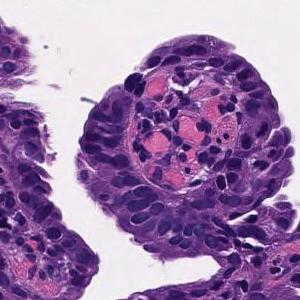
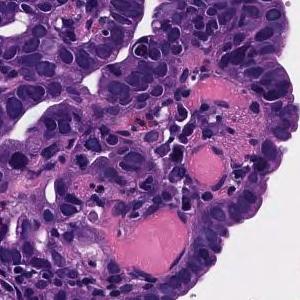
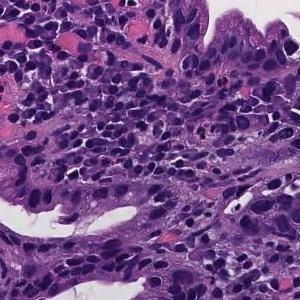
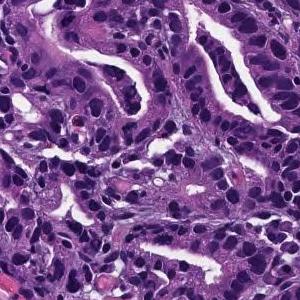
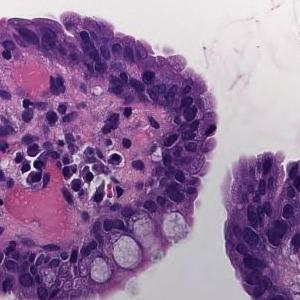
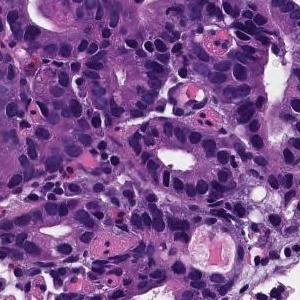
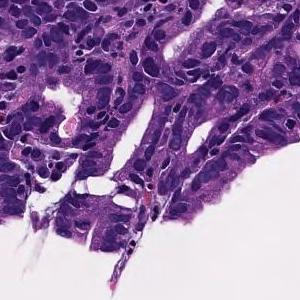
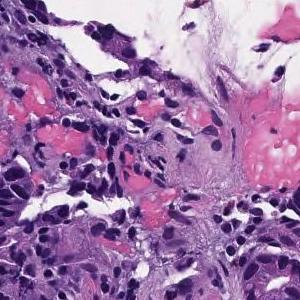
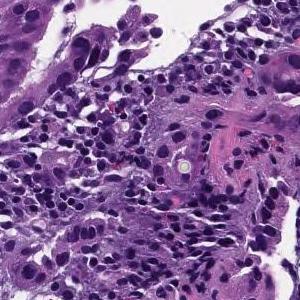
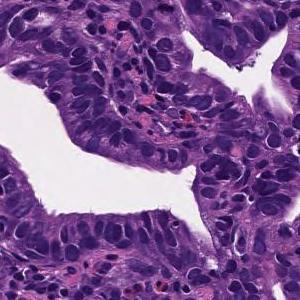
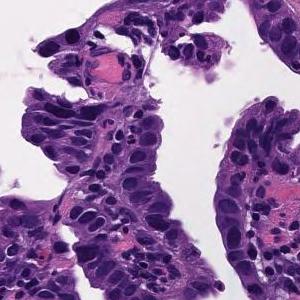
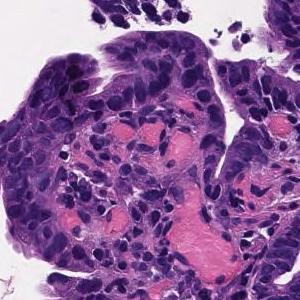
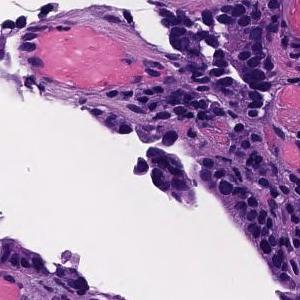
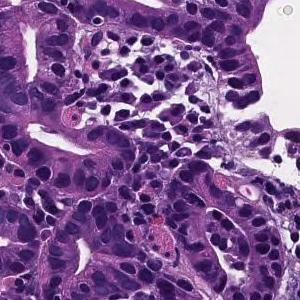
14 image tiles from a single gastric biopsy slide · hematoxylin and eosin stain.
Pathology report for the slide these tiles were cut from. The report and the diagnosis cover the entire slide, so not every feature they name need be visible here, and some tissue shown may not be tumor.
From the superficial epithelium to the muscularis mucosae, tumor tissue consisting of medium-sized and irregular glandular ducts infiltrating is observed. Well differentiated tubular adenocarcinoma
